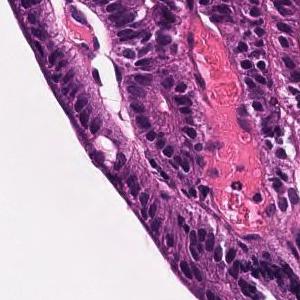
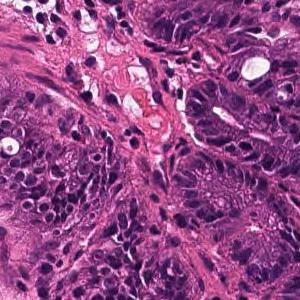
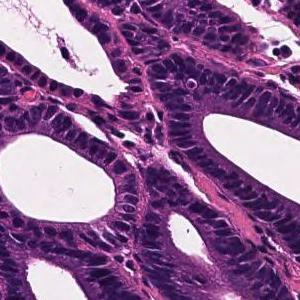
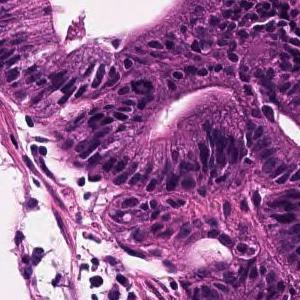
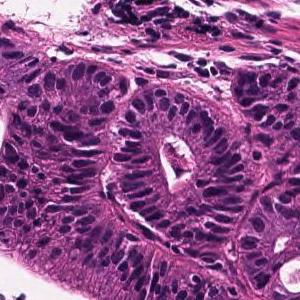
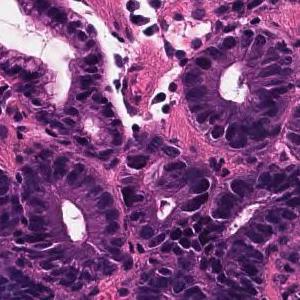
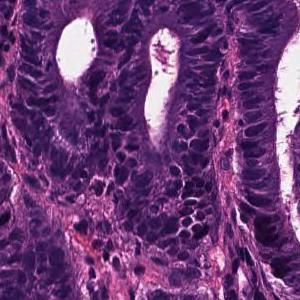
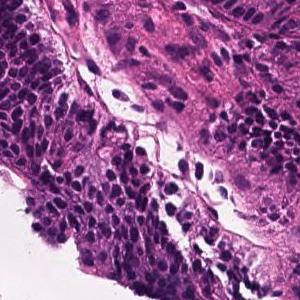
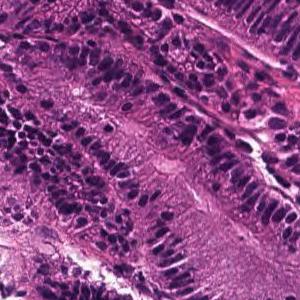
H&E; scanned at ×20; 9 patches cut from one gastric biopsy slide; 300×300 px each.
Pathology report for the biopsy slide these tiles were cut from. Both the report and the diagnosis are for the whole slide: these tiles need not show every feature named, and some of the tissue shown may not be tumor.
Tumor tissue that remains within the superficial epithelium and is infiltrated by large papillary or irregular ducts that fuse with each other is observed. Well differentiated tubular adenocarcinoma
